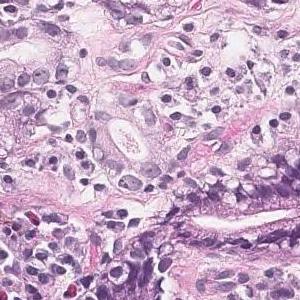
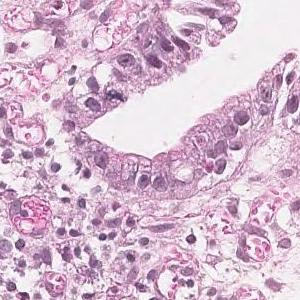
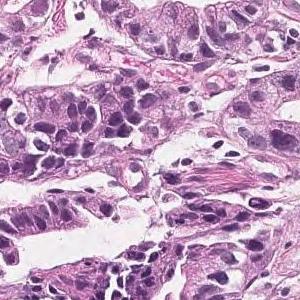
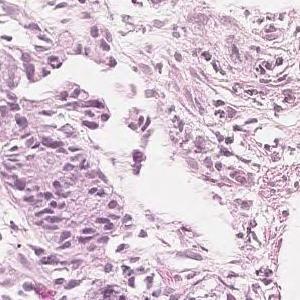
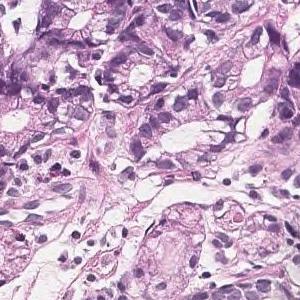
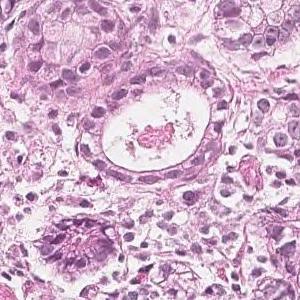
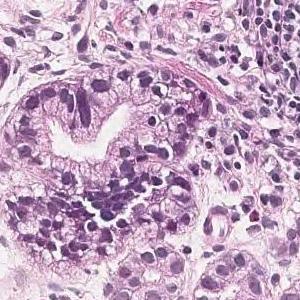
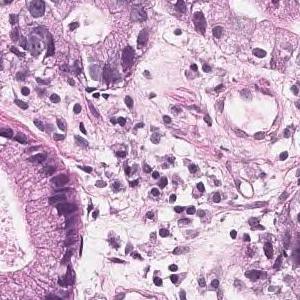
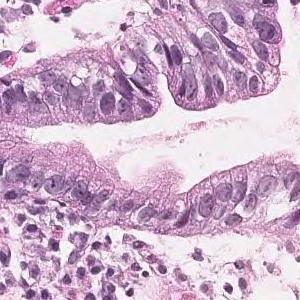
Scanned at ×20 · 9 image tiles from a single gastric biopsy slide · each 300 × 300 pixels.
The pathologist's report on the biopsy slide these tiles were taken from. What the report and the diagnosis say applies to the whole slide; these tiles may miss some of the features named and may include tissue that is not tumor.
In the superficial epithelium, tumor tissue that invades by forming medium-sized to small, irregular ducts is observed. moderately differentiated tubular adenocarcinoma.
